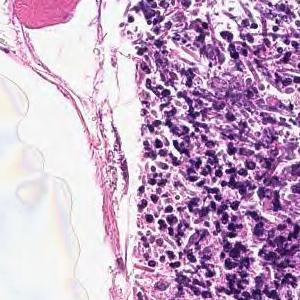
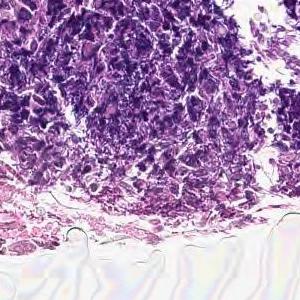
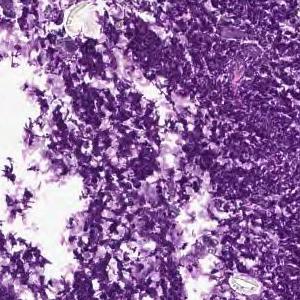
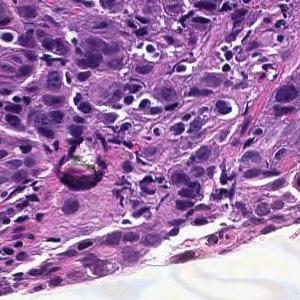
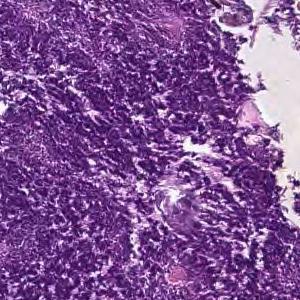
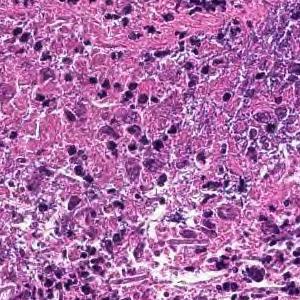
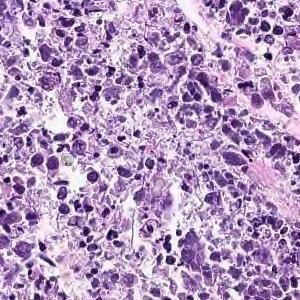
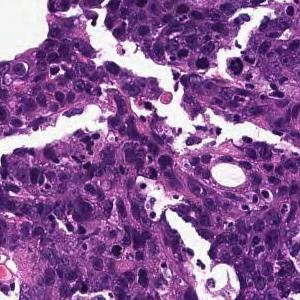
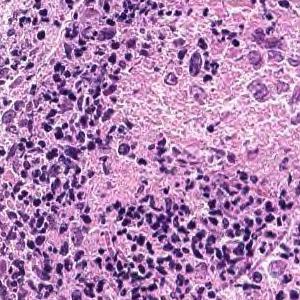
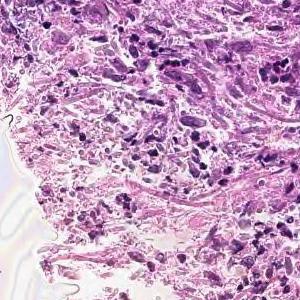
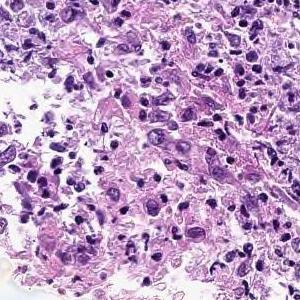
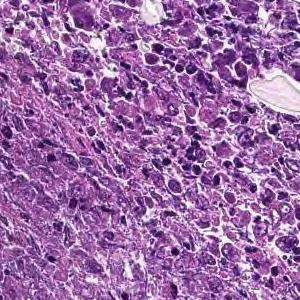
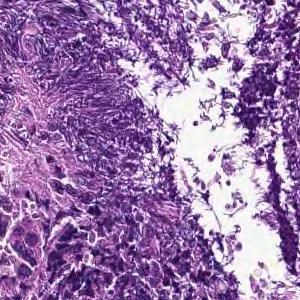
Hematoxylin and eosin stain; 13 image tiles from a single gastric biopsy slide.
Pathology report for the biopsy slide these tiles were cut from. Both the report and the diagnosis are for the whole slide: these tiles need not show every feature named, and some of the tissue shown may not be tumor.
Cancers with polygonal nuclei do not show glandular formation and are densely, in part, cord-like and proliferate. Poorly differentiated adenocarcinoma
Classified as poorly differentiated adenocarcinoma, non-solid type.
The term "non-solid type" comes from the Japanese Classification of Gastric Carcinoma.
